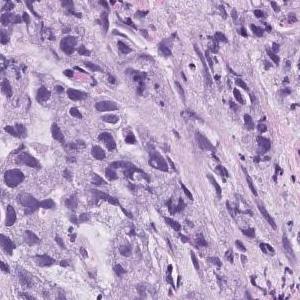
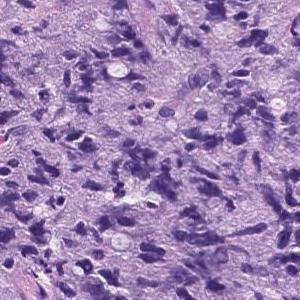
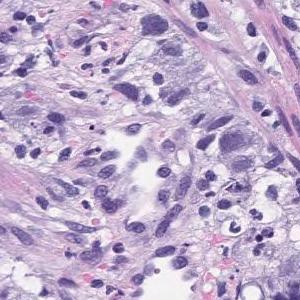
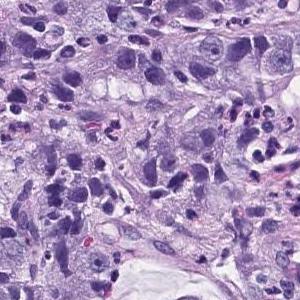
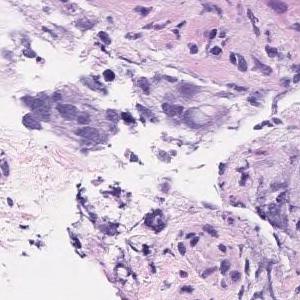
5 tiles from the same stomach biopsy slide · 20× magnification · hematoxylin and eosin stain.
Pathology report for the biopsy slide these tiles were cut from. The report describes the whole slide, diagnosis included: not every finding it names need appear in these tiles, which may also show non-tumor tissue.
Atypical l cells with atypical nuclei forming solid vesicles or small irregular atypical ducts that proliferate in a complex manner. poorly differentiated adenocarcinoma, solid type, moderately differentiated tubular adenocarcinoma
The solid type named here is a Japanese Classification of Gastric Carcinoma category; WHO 2019 calls it tubular adenocarcinoma, poorly differentiated.
